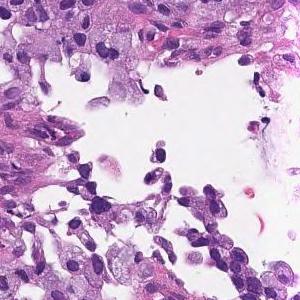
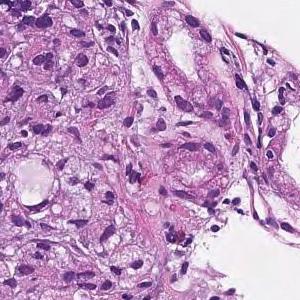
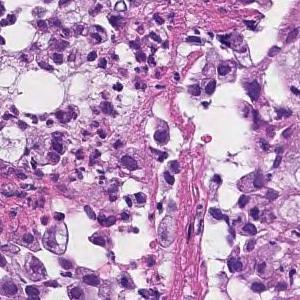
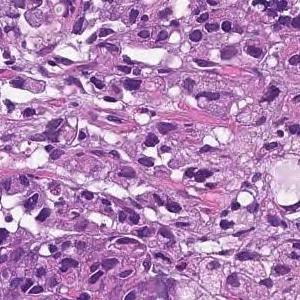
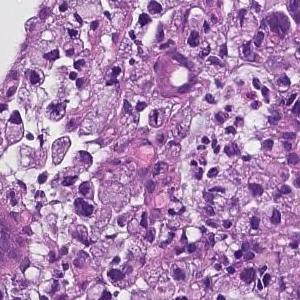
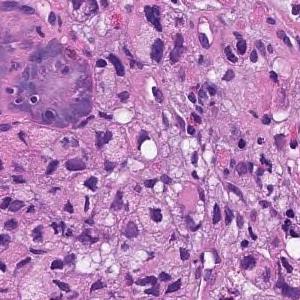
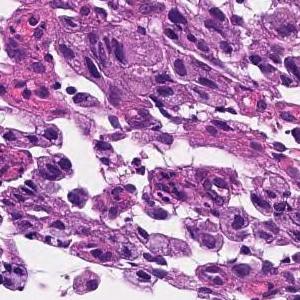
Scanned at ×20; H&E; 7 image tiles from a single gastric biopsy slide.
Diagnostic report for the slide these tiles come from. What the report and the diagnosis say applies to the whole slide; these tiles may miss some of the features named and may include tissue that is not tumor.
In the lamina propria, a tumor tissue consisting of signet ring cell type atypical epithelial cells infiltrating is observed. Signet ring cell carcinoma.
